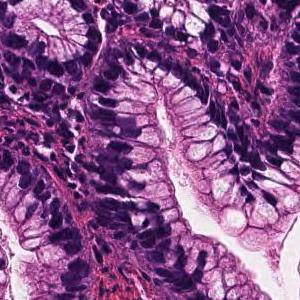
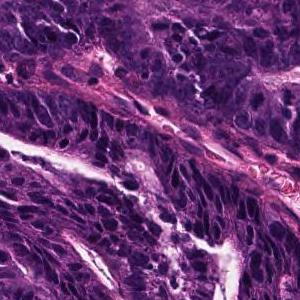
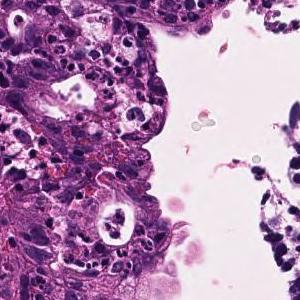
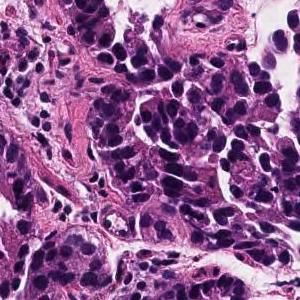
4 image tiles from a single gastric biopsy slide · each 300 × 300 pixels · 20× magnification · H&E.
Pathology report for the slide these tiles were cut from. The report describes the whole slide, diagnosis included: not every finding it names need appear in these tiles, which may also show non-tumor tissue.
Tumor cells are large, highly columnar, large club-shaped nuclei, and are associated with chromatin aggregation. Papillary adenocarcinoma.
